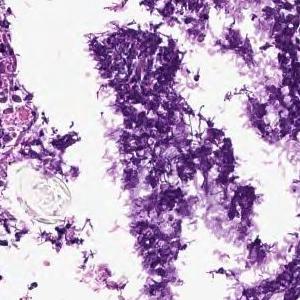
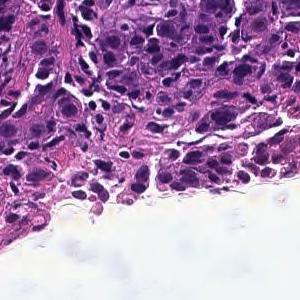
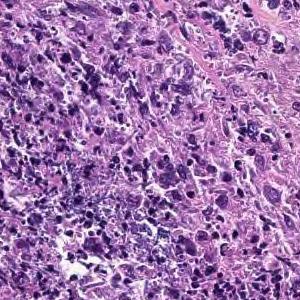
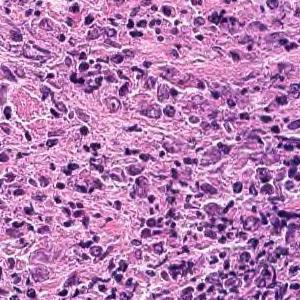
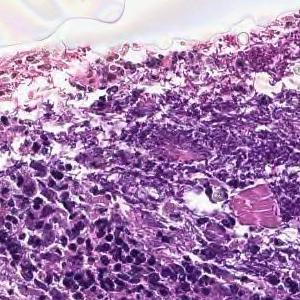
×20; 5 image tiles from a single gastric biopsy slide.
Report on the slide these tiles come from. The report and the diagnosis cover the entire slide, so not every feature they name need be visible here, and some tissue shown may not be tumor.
Cancers with polygonal nuclei do not show glandular formation and are densely, in part, cord-like and proliferate. Poorly differentiated adenocarcinoma
Tumor subtype: poorly differentiated adenocarcinoma, non-solid type.
"Non-solid type" is a category of the Japanese Classification of Gastric Carcinoma.
